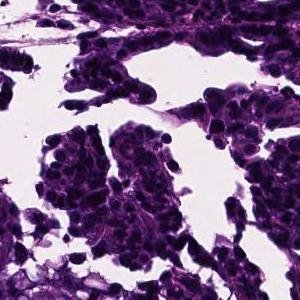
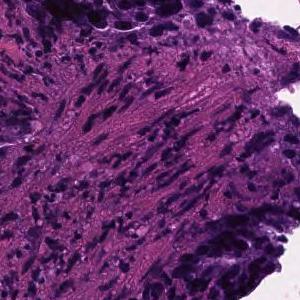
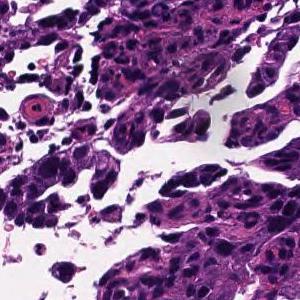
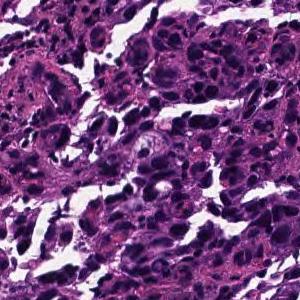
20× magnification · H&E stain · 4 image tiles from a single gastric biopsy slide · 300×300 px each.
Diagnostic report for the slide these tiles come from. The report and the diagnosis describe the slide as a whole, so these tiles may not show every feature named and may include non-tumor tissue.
In the superficial epithelium, tumor tissue that invades by forming medium-sized to small, irregular ducts is observed. moderately differentiated tubular adenocarcinoma.
